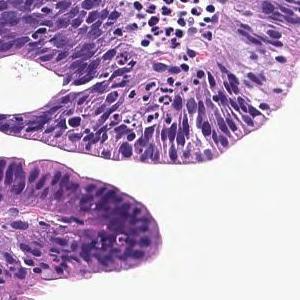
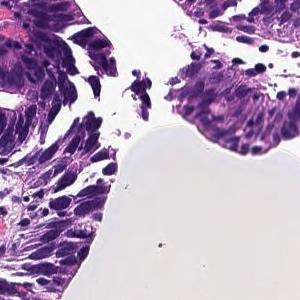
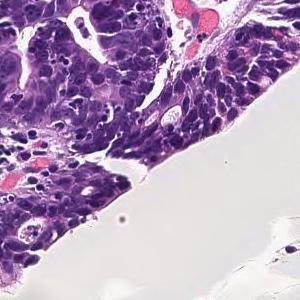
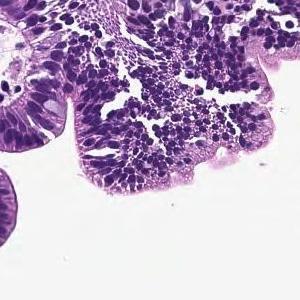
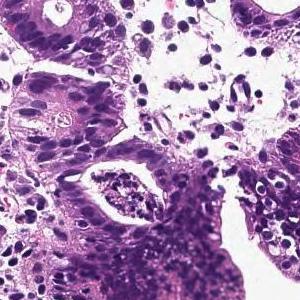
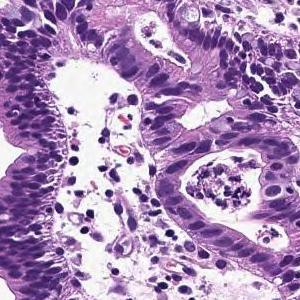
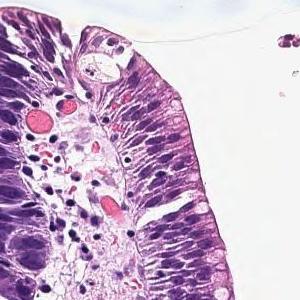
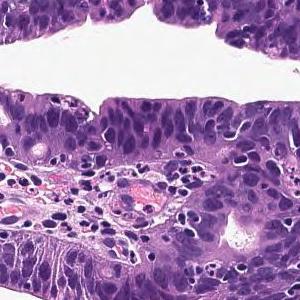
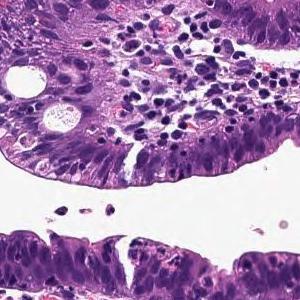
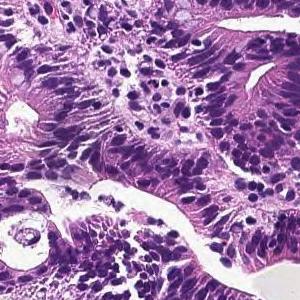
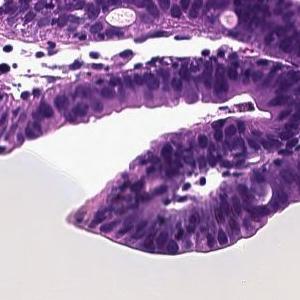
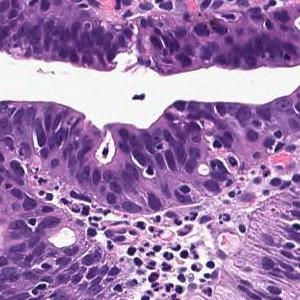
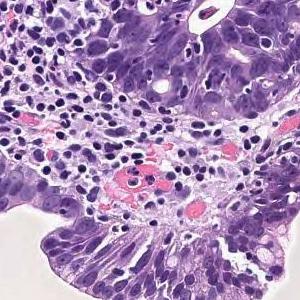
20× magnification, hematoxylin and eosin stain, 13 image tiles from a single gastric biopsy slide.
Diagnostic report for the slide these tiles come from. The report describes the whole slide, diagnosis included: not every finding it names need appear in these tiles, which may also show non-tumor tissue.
Infiltrating tumor tissue is observed in the superficial epithelium, showing large papillary structures or large and small ducts. Papillary adenocarcinoma
